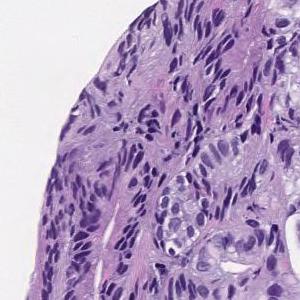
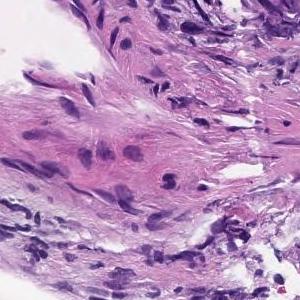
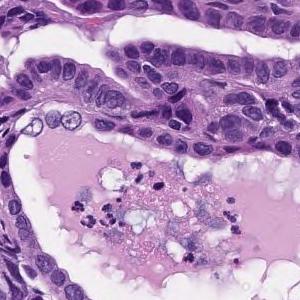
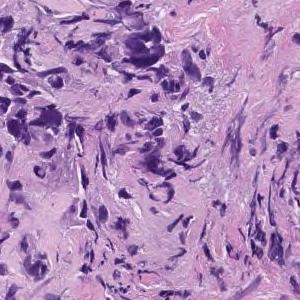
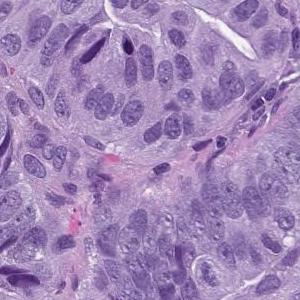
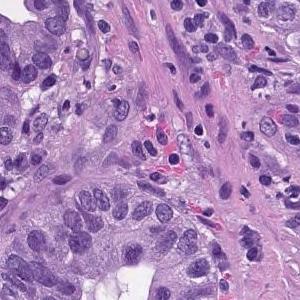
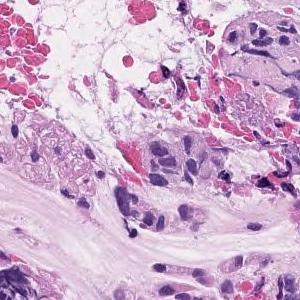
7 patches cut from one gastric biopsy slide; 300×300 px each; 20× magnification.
Pathology report for the slide these tiles were cut from. The findings and the diagnosis refer to the entire slide; these tiles show only part of it, possibly with non-tumor tissue, and may not show every feature named.
In the superficial epithelium, tumor tissue that invades by forming medium-sized to small, irregular ducts is observed. moderately differentiated tubular adenocarcinoma.
